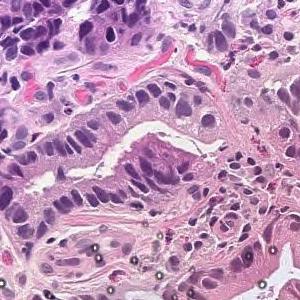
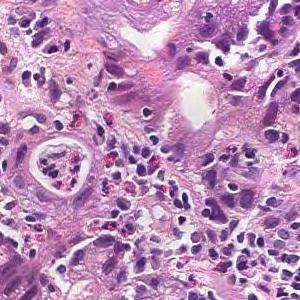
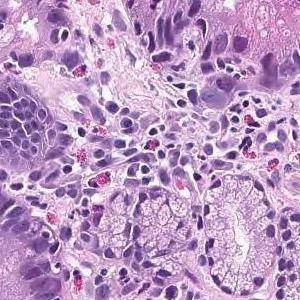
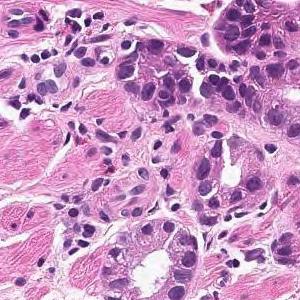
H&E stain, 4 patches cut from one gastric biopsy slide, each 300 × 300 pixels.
Pathology report for the slide these tiles were cut from. The report and the diagnosis describe the slide as a whole, so these tiles may not show every feature named and may include non-tumor tissue.
In the superficial epithelium, tumor tissue that invades by forming medium-sized to small, irregular ducts is observed. moderately differentiated tubular adenocarcinoma.
